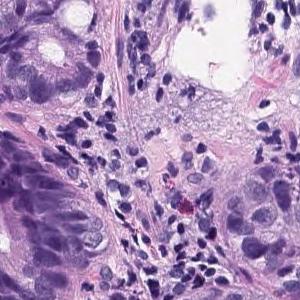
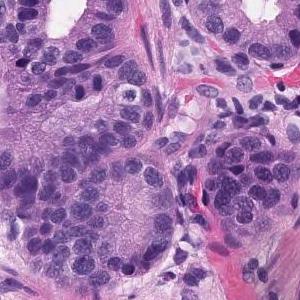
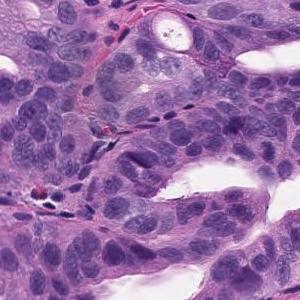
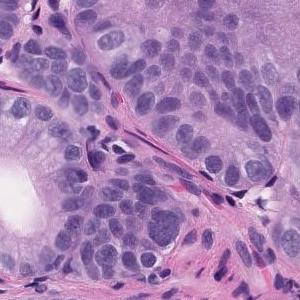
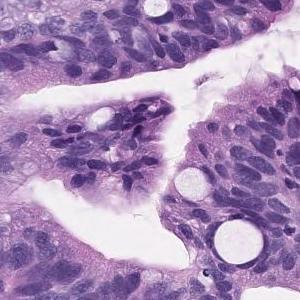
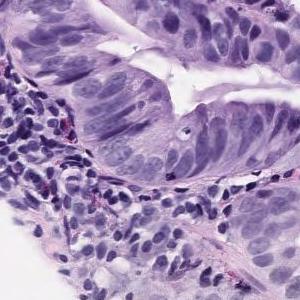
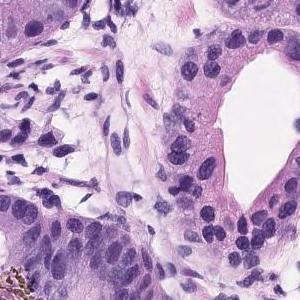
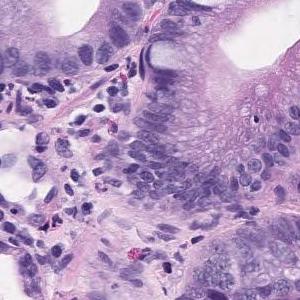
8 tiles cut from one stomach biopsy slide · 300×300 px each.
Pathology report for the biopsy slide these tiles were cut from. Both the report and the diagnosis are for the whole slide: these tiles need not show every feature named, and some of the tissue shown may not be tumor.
Tumor tissue consisting of medium-sized and irregular ducts is observed infiltrating in the superficial epithelium. Tumor cells are highly columnar, with nuclei aligned basolaterally and polarized. Well differentiated tubular adenocarcinoma.
